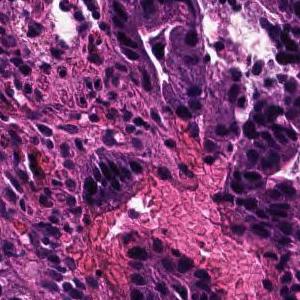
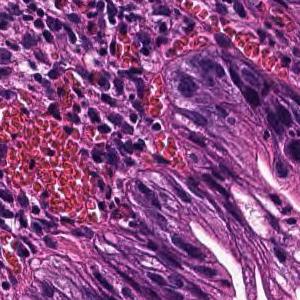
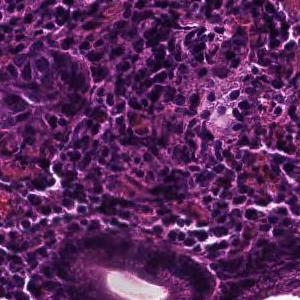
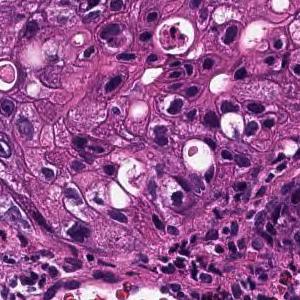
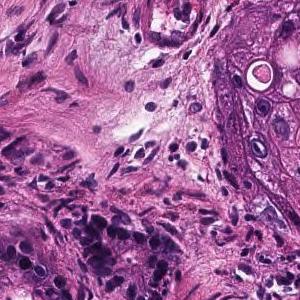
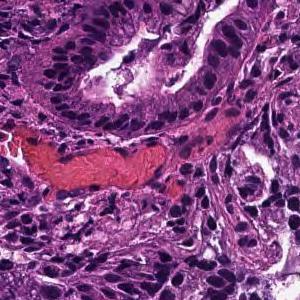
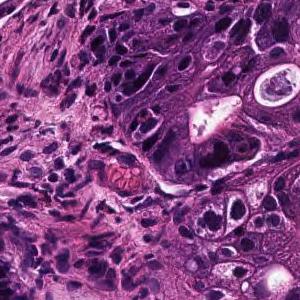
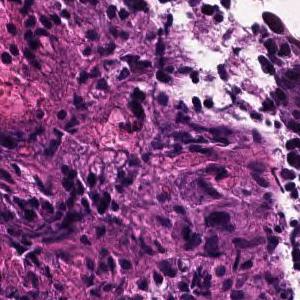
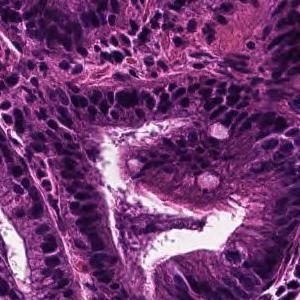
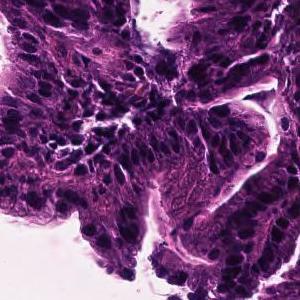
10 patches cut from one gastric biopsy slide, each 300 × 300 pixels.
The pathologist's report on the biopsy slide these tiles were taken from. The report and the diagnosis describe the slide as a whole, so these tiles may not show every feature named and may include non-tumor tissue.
In the superficial epithelium, tumor tissue that invades by forming medium-sized to small, irregular ducts is observed. moderately differentiated tubular adenocarcinoma.
